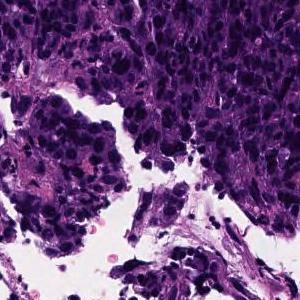
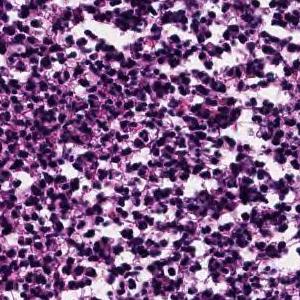
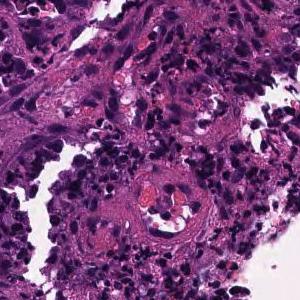
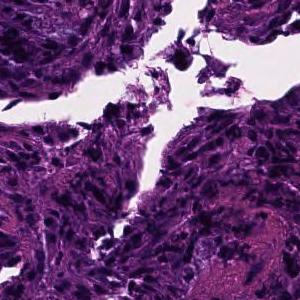
4 patches cut from one gastric biopsy slide, hematoxylin and eosin stain, ×20.
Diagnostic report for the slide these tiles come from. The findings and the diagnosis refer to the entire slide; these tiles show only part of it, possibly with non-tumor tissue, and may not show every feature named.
In the superficial epithelium, tumor tissue that invades by forming medium-sized to small, irregular ducts is observed. moderately differentiated tubular adenocarcinoma.
